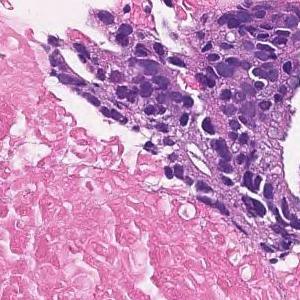
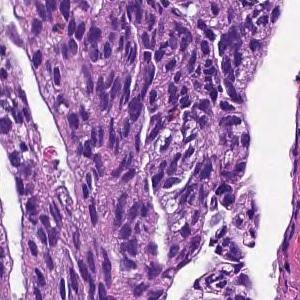
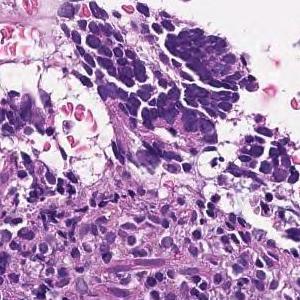
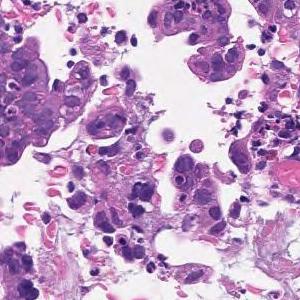
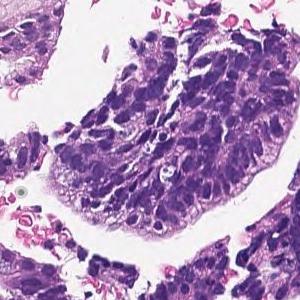
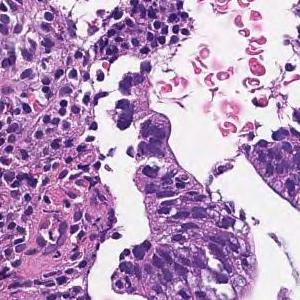
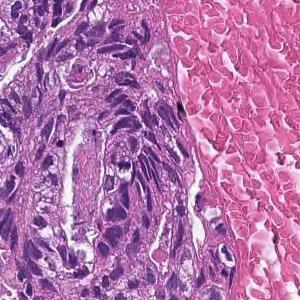
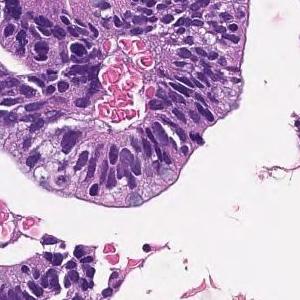
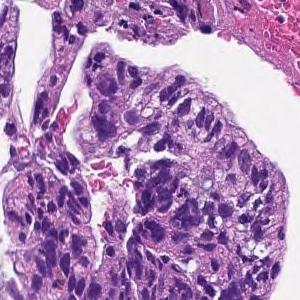
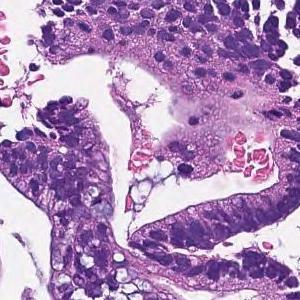
10 image tiles from a single gastric biopsy slide; each 300 × 300 pixels; ×20; H&E.
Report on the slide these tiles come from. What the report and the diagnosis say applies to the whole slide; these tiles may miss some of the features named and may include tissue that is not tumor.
In the superficial epithelium, tumor tissue that invades by forming medium-sized to small, irregular ducts is observed. moderately differentiated tubular adenocarcinoma.
